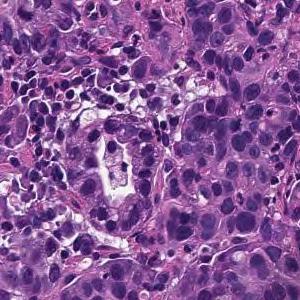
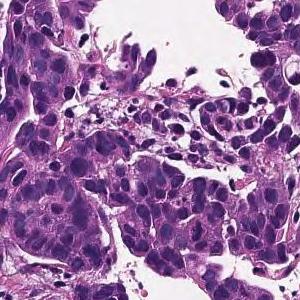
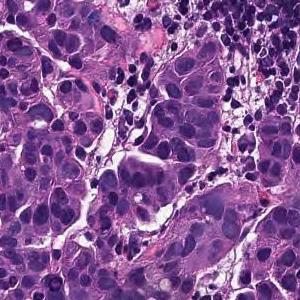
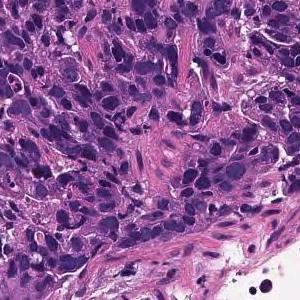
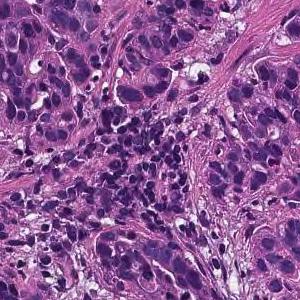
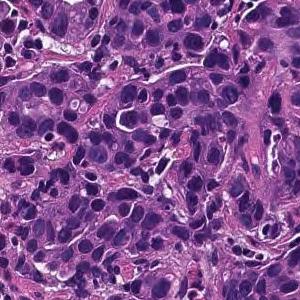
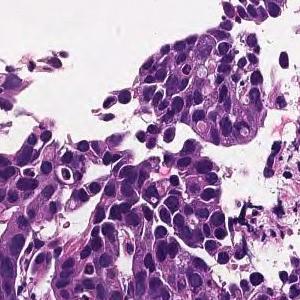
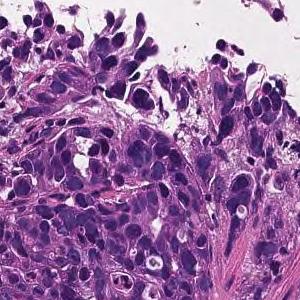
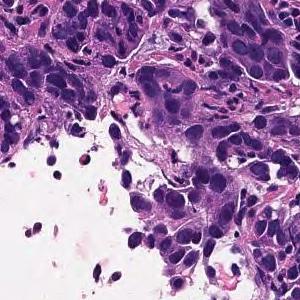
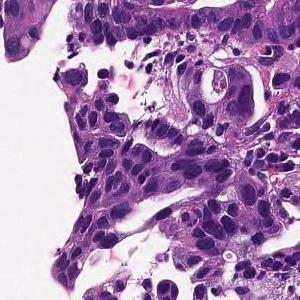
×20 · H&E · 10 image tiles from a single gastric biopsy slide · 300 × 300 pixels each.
Report on the slide these tiles come from. The report and the diagnosis describe the slide as a whole, so these tiles may not show every feature named and may include non-tumor tissue.
The superficial epithelium shows small cord-like infiltrating tumor tissue. There is no mucin production in tumor cells. Poorly differentiated adenocarcinoma, non-solid type
"Non-solid type" is a category of the Japanese Classification of Gastric Carcinoma.
